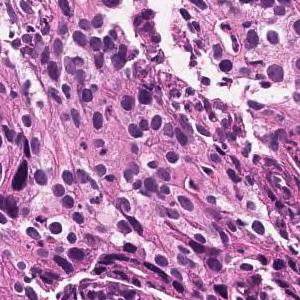
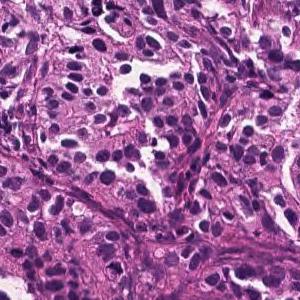
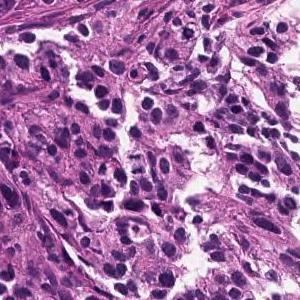
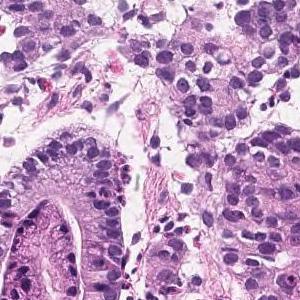
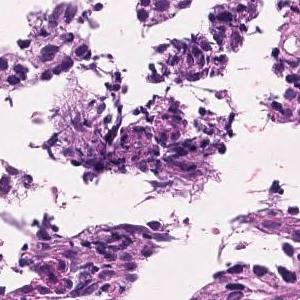
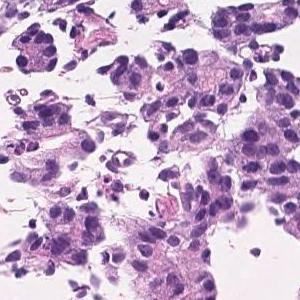
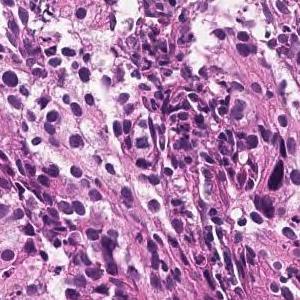
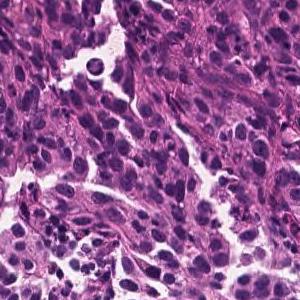
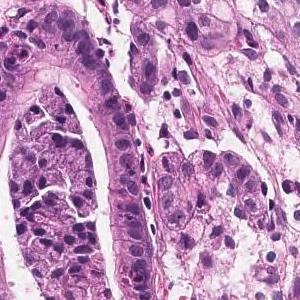
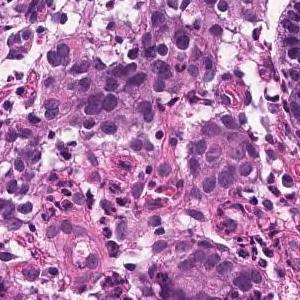
10 image tiles from a single gastric biopsy slide · 300×300 px each · hematoxylin and eosin stain · 20× magnification.
Diagnostic report for the slide these tiles come from. The report and the diagnosis describe the slide as a whole, so these tiles may not show every feature named and may include non-tumor tissue.
Medium to small, irregular glandular ducts are formed in the superficial epithelium, and in some cases, the glandular ducts are fused to show solid alveolar lesions and infiltrating tumor tissue is observed. Moderately to poorly differentiated adenocarcinoma.
